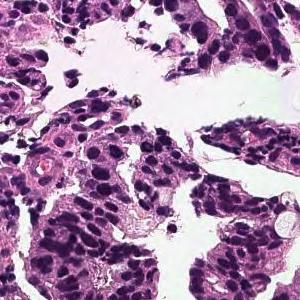
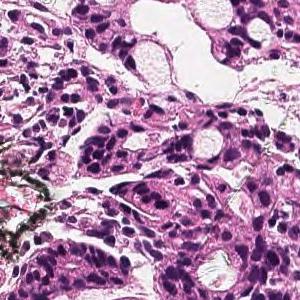
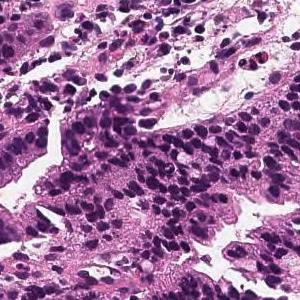
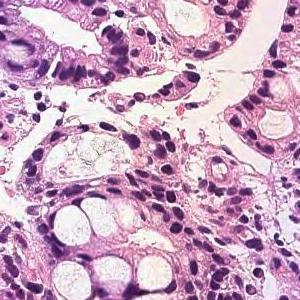
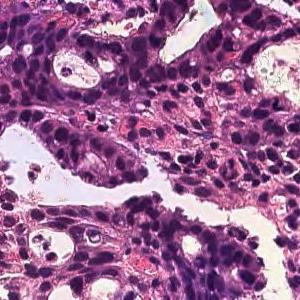
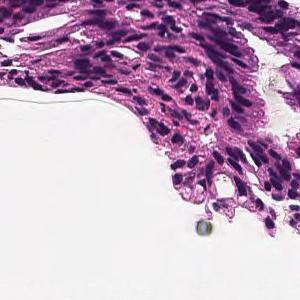
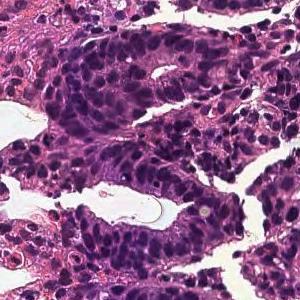
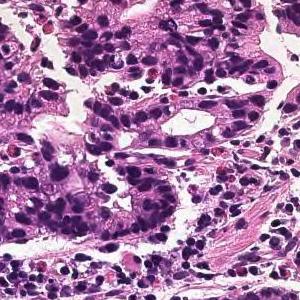
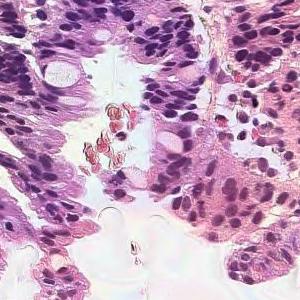
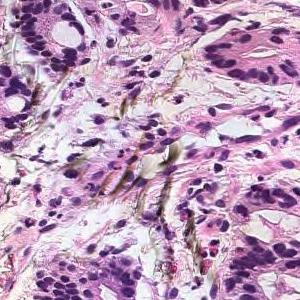
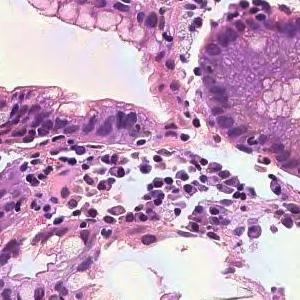
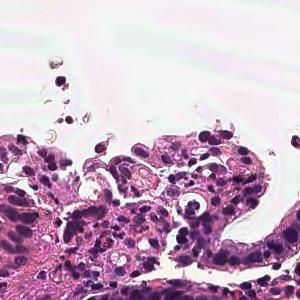
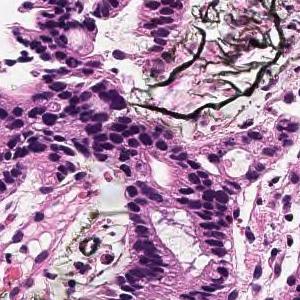
13 tiles from the same stomach biopsy slide; ×20; hematoxylin and eosin stain.
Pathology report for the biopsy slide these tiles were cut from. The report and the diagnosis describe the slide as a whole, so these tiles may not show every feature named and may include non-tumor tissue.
In the superficial epithelium, tumor tissue that invades by forming medium-sized to small, irregular ducts is observed. moderately differentiated tubular adenocarcinoma.
